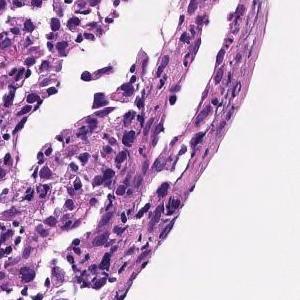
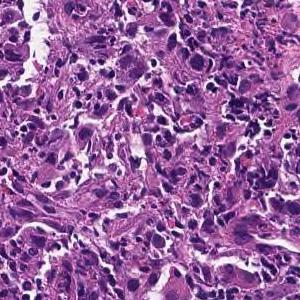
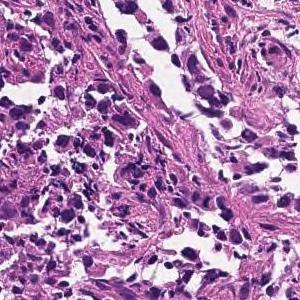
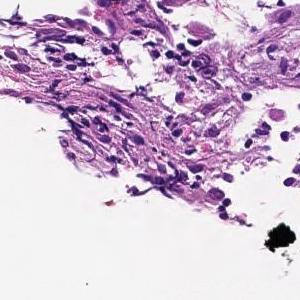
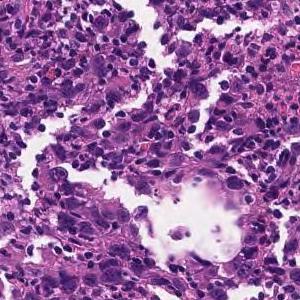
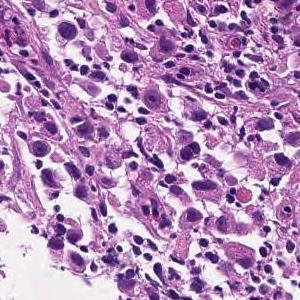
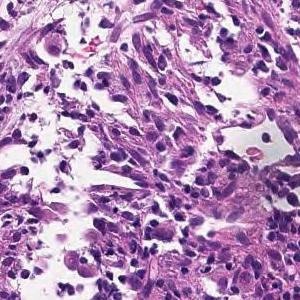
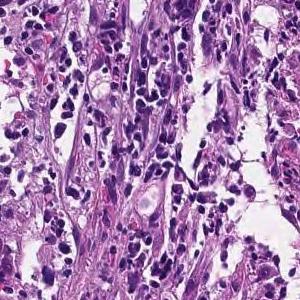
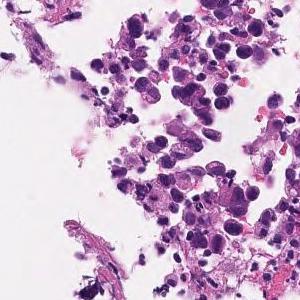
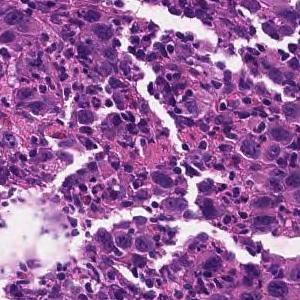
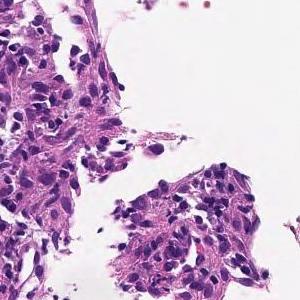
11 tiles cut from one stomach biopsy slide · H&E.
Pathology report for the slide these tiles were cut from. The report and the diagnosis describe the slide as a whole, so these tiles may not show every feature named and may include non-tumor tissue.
The superficial epithelium shows a large sheet-like shape, and some tumor tissue infiltrates with small irregular ducts. Poorly differentiated adenocarcinoma, solid-type (poorly differentiated adenocarcinoma, solid type)
Subtype: Poorly differentiated adenocarcinoma, solid type, a category of the Japanese Classification of Gastric Carcinoma; in the WHO 2019 classification it is tubular adenocarcinoma, poorly differentiated.
